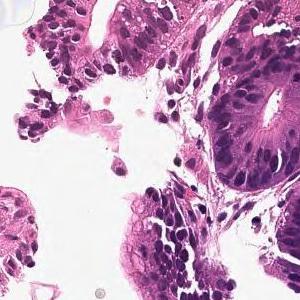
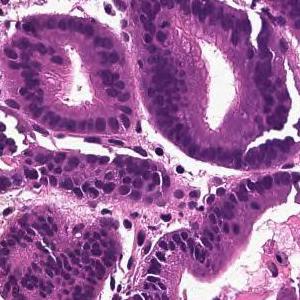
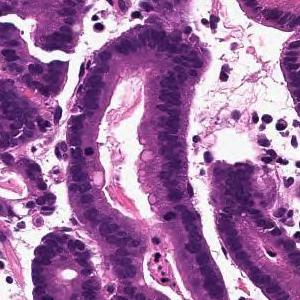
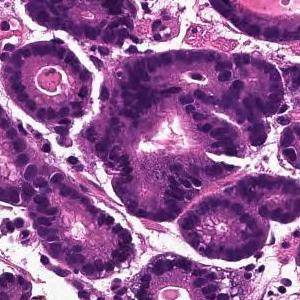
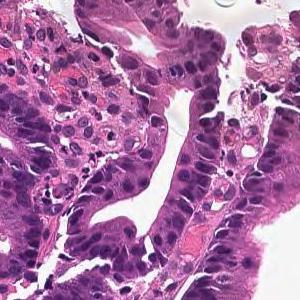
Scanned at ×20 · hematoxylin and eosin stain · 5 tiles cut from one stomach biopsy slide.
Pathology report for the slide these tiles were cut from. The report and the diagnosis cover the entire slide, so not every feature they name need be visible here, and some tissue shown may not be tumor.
From the superficial epithelium to the muscularis mucosae, tumor tissue consisting of medium-sized and irregular glandular ducts infiltrating is observed. Well differentiated tubular adenocarcinoma
